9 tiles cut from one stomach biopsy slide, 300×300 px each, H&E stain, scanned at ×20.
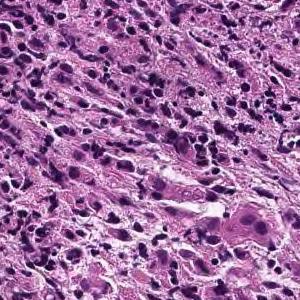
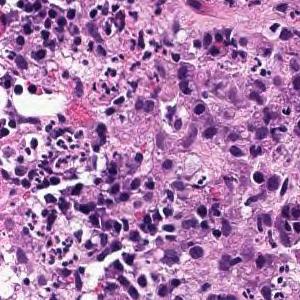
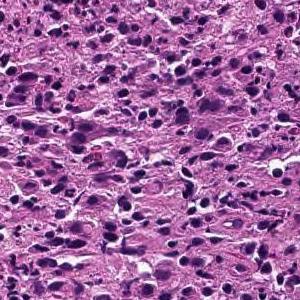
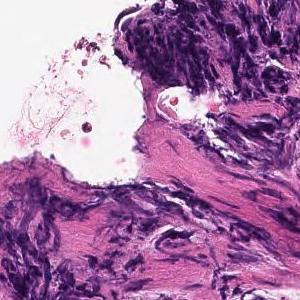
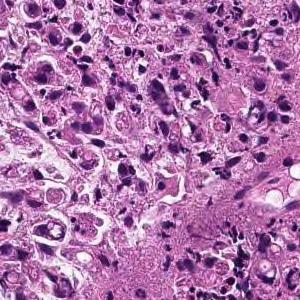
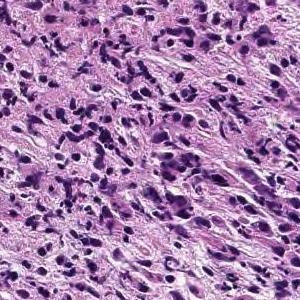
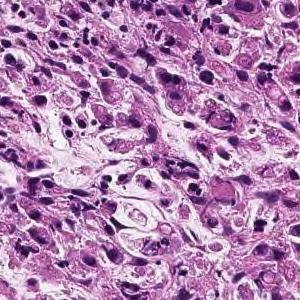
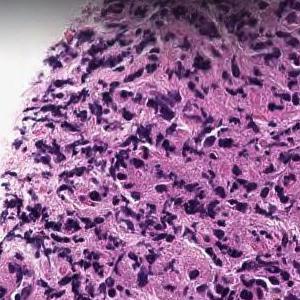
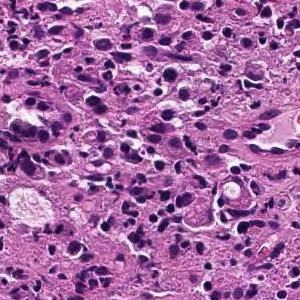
The pathologist's report on the biopsy slide these tiles were taken from. The findings and the diagnosis refer to the entire slide; these tiles show only part of it, possibly with non-tumor tissue, and may not show every feature named.
Large sheet-like or diffusely infiltrating tumor tissue is found in the superficial epithelium. Poorly differentiated adenocarcinoma, solid-type
Histologic type: Poorly differentiated adenocarcinoma, solid type. This name comes from the Japanese Classification of Gastric Carcinoma; the WHO 2019 classification calls it tubular adenocarcinoma, poorly differentiated.
